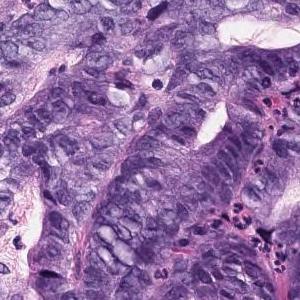
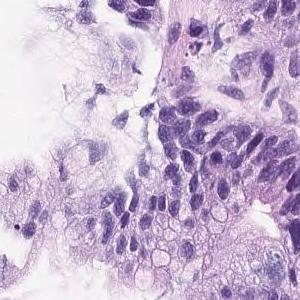
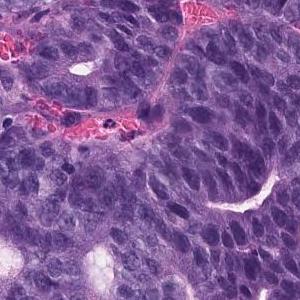
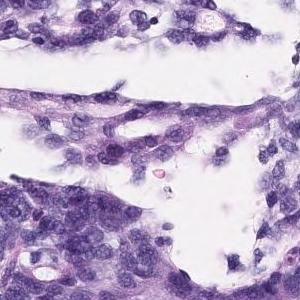
H&E stain, 4 patches cut from one gastric biopsy slide.
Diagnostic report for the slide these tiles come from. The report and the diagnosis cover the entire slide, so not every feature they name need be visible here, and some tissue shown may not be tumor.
In the superficial epithelium, tumor tissue that invades by forming medium-sized to small, irregular ducts is observed. Well to moderately differentiated tubular adenocarcinoma.
